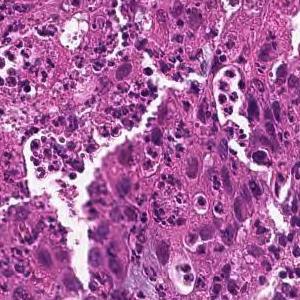
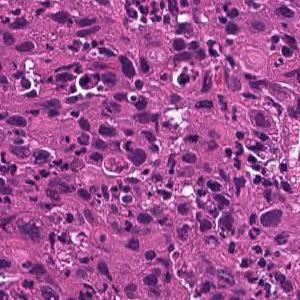
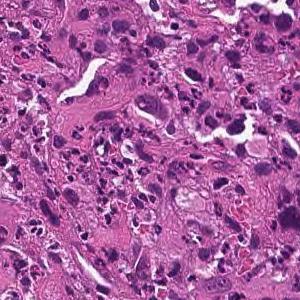
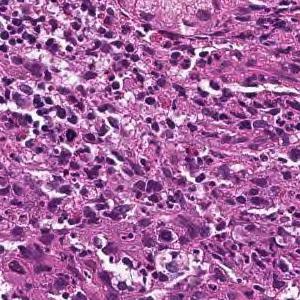
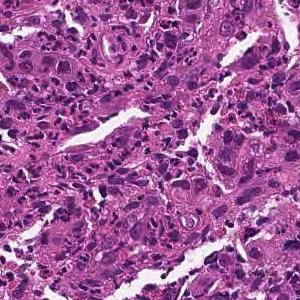
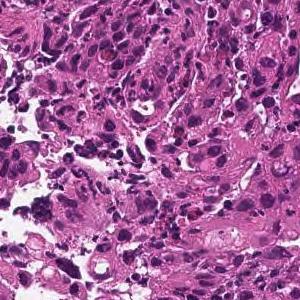
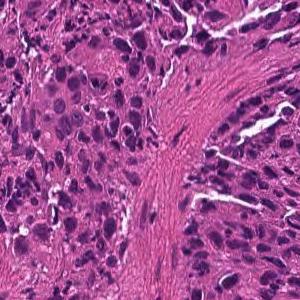
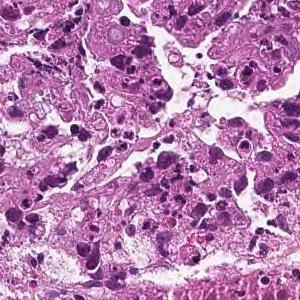
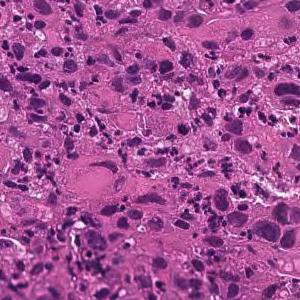
×20 · H&E stain · 9 tiles from the same stomach biopsy slide · 300×300 px each.
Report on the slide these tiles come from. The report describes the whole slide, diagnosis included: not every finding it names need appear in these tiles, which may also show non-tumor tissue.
The superficial epithelium shows a large sheet-like shape, and some tumor tissue infiltrates with small irregular ducts. Poorly differentiated adenocarcinoma, solid-type
Tumor subtype: poorly differentiated adenocarcinoma, solid type, a category of the Japanese Classification of Gastric Carcinoma; in the WHO 2019 classification it is tubular adenocarcinoma, poorly differentiated.
